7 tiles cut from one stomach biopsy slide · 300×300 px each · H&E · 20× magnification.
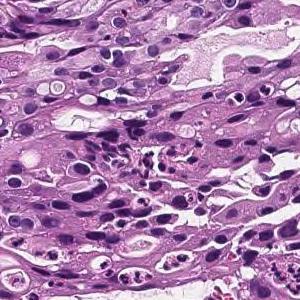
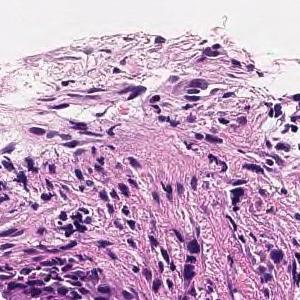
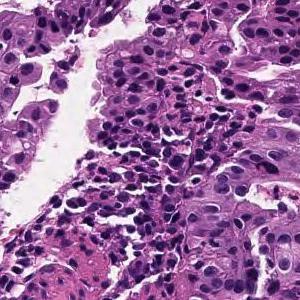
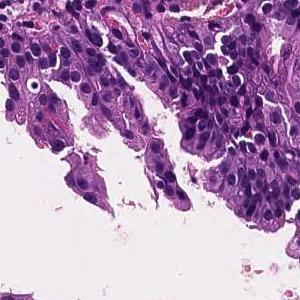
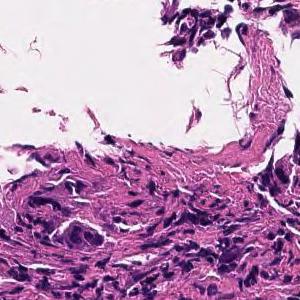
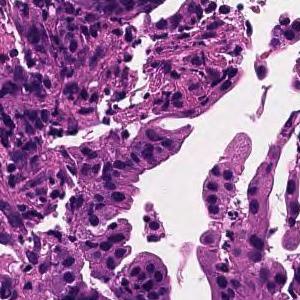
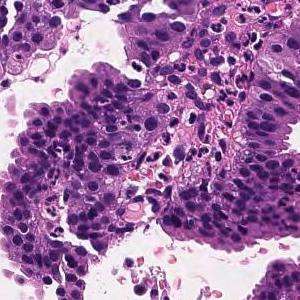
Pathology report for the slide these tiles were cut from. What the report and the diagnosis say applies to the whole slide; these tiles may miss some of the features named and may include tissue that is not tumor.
On the superficial epithelium, tumor tissue consisting of large, irregular glandular ducts partially fused and infiltrated is observed. Well to moderately differentiated tubular adenocarcinoma (well differentiated tubular adenocarcinoma, moderately differentiated tubular adenocarcinoma)
Histological subtype: Well to moderately differentiated tubular adenocarcinoma.
